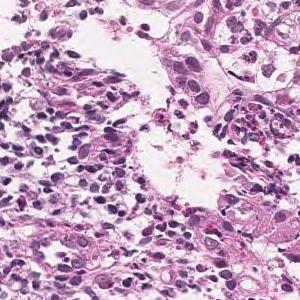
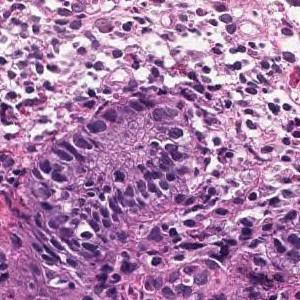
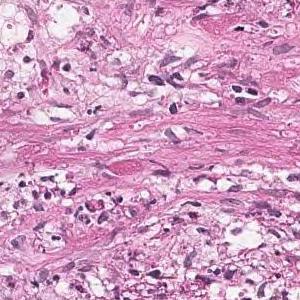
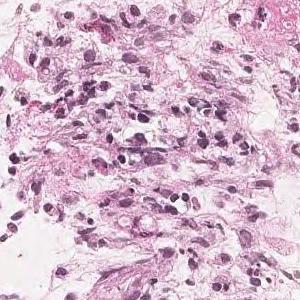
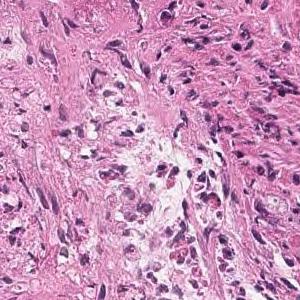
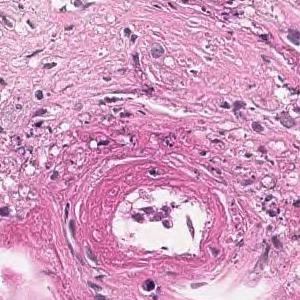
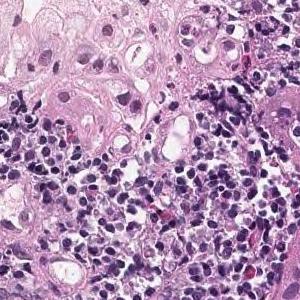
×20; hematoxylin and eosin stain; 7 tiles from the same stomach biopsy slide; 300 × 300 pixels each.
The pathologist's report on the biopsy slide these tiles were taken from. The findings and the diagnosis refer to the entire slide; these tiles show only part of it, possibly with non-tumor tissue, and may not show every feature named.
Tumor tissue is observed in which atypical epithelial cells with mucus in the vesicles proliferate while being isolated. Signet ring cell carcinoma
